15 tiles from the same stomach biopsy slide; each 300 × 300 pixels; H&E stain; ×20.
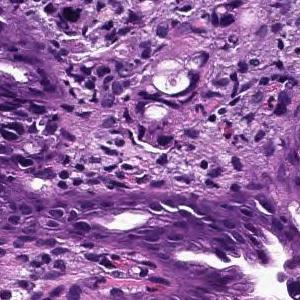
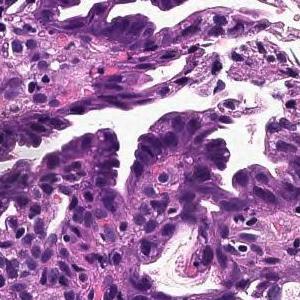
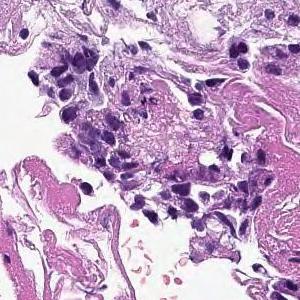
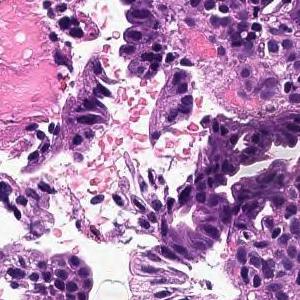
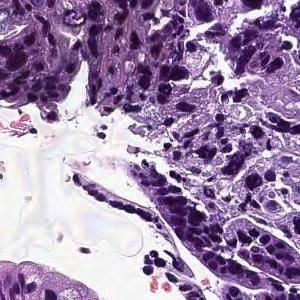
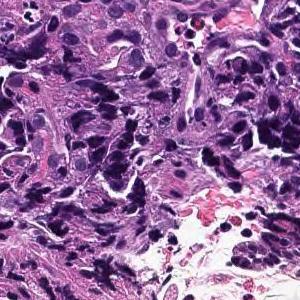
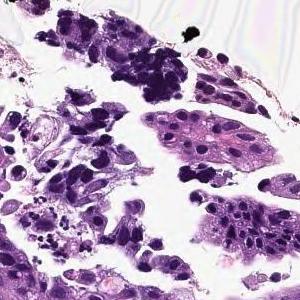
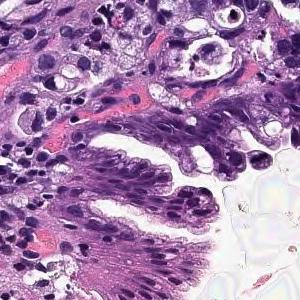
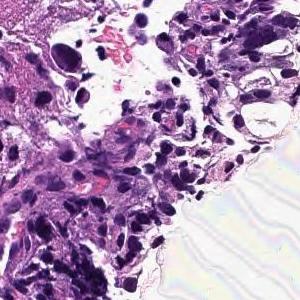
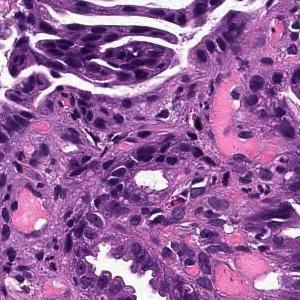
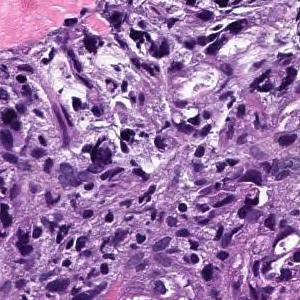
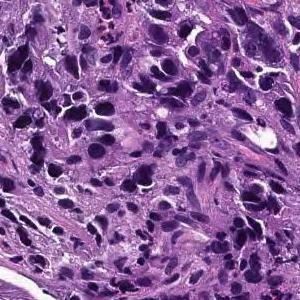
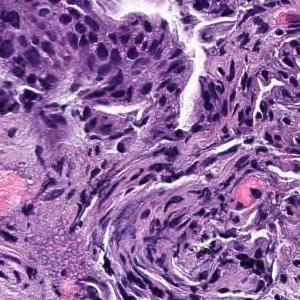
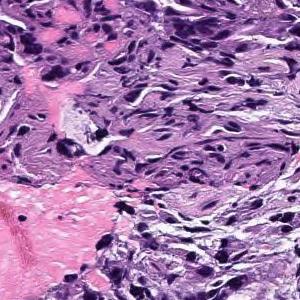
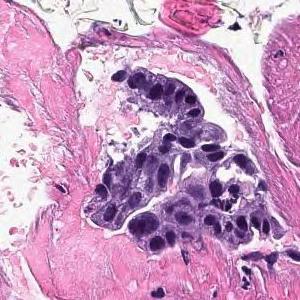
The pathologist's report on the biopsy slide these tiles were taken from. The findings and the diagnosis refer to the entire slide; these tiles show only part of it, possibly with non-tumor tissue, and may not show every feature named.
The superficial epithelium shows small cord-like infiltrating tumor tissue. Tumor cells are invading single cell manner without mucin production. Poorly differentiated adenocarcinoma, non-solid type
The non-solid type named here is a Japanese Classification of Gastric Carcinoma category.
